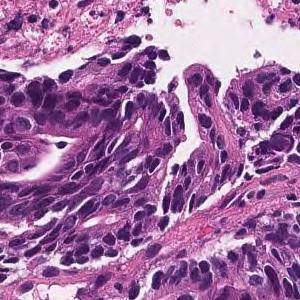
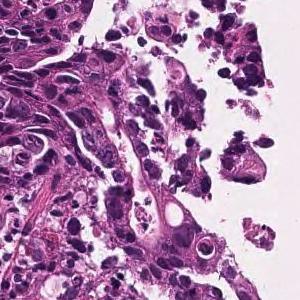
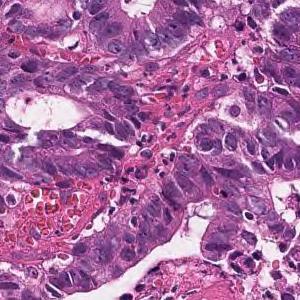
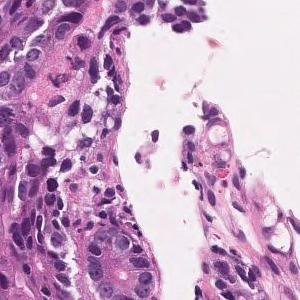
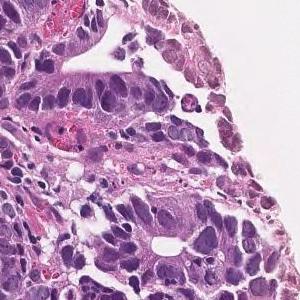
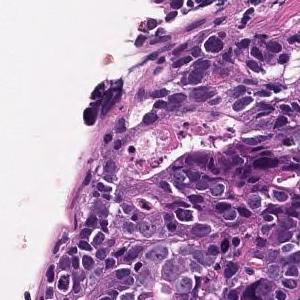
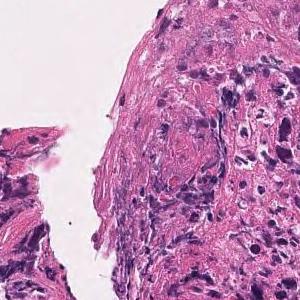
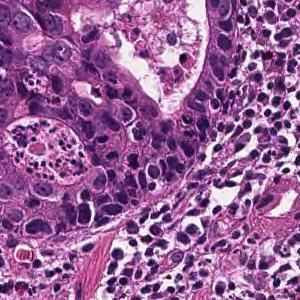
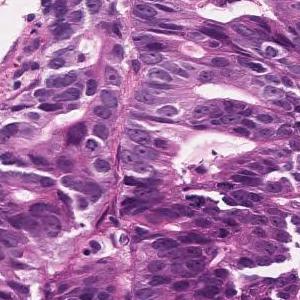
Hematoxylin and eosin stain; ×20; 9 image tiles from a single gastric biopsy slide.
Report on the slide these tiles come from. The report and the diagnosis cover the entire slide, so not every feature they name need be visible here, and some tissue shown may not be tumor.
In the superficial epithelium, tumor tissue that invades by forming medium-sized to small, irregular ducts is observed. moderately differentiated tubular adenocarcinoma.
